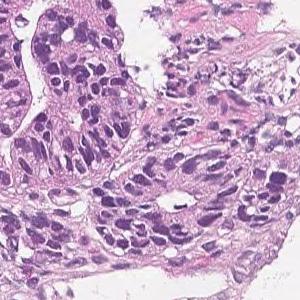
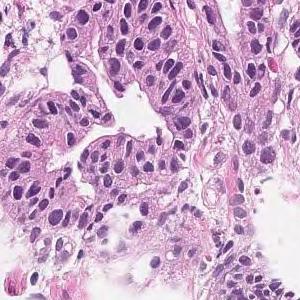
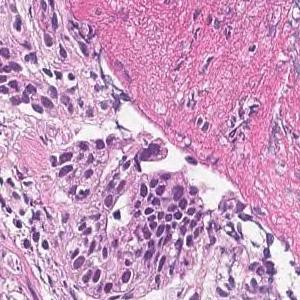
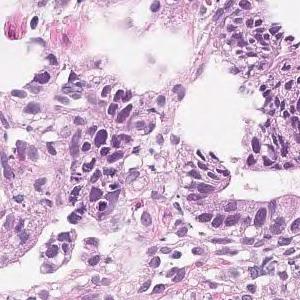
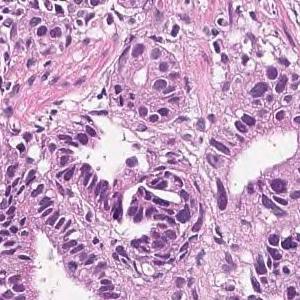
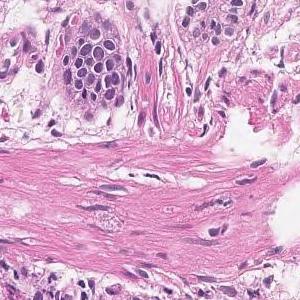
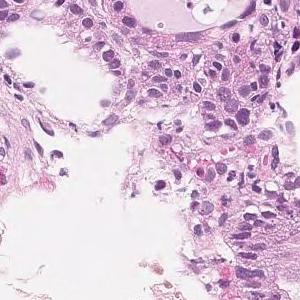
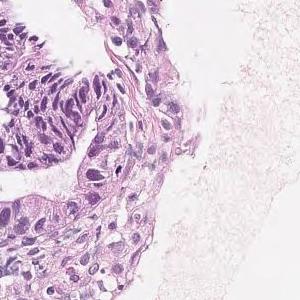
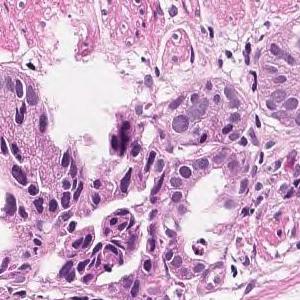
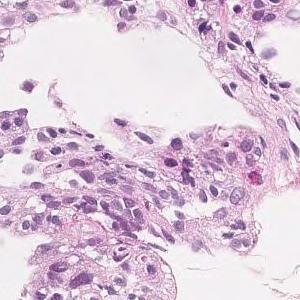
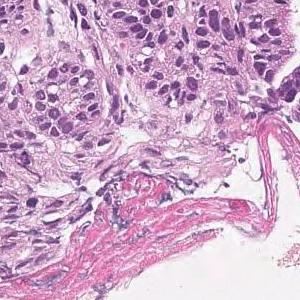
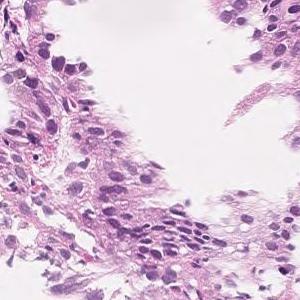
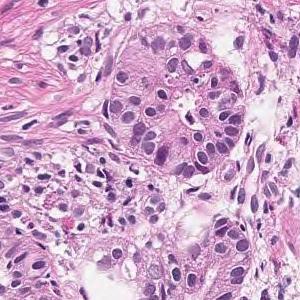
Hematoxylin and eosin stain · 13 patches cut from one gastric biopsy slide · each 300 × 300 pixels.
Report on the slide these tiles come from. What the report and the diagnosis say applies to the whole slide; these tiles may miss some of the features named and may include tissue that is not tumor.
In the superficial epithelium, tumor tissue that invades by forming medium-sized to small, irregular ducts is observed. moderately differentiated tubular adenocarcinoma.
